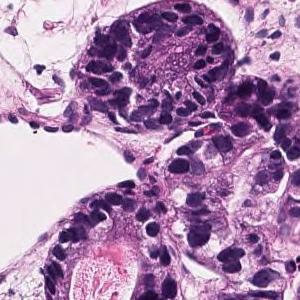
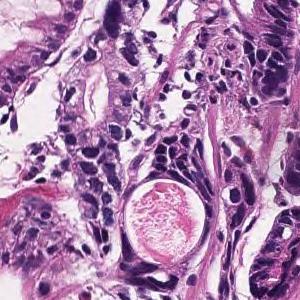
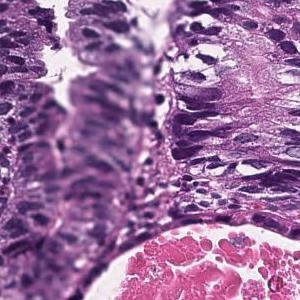
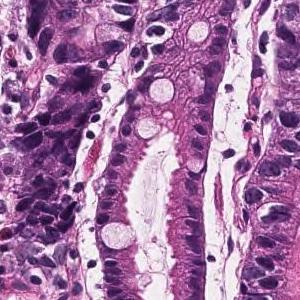
4 image tiles from a single gastric biopsy slide, each 300 × 300 pixels, H&E.
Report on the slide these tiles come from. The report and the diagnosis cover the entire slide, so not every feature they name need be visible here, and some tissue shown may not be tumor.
Tumor tissue consisting of medium-sized and irregular ducts is observed infiltrating in the superficial epithelium. Tumor cells are highly columnar, with nuclei aligned basolaterally and polarized. Well differentiated tubular adenocarcinoma.
